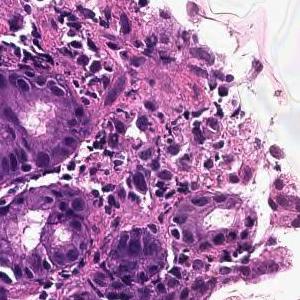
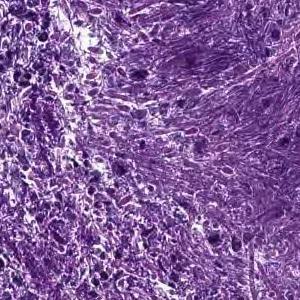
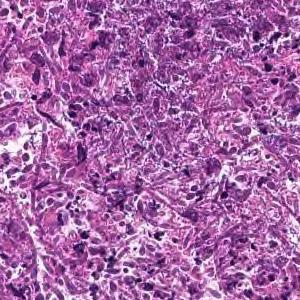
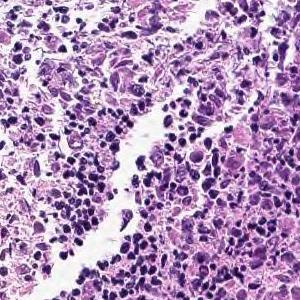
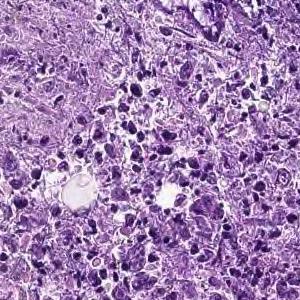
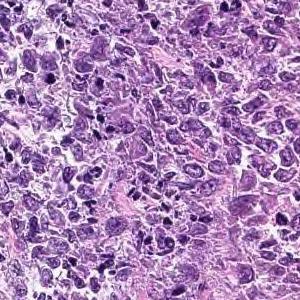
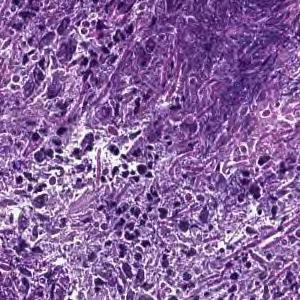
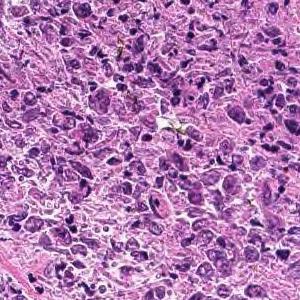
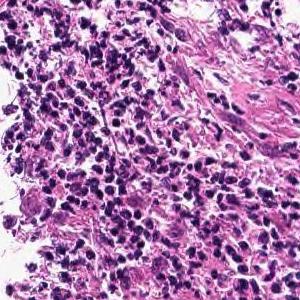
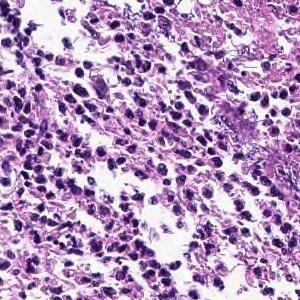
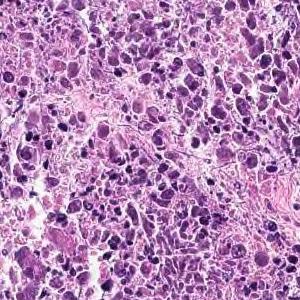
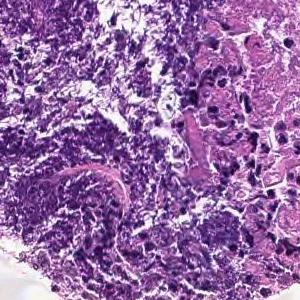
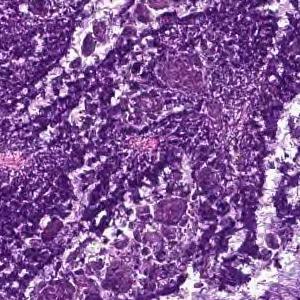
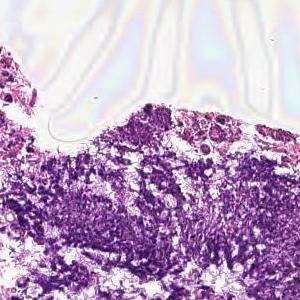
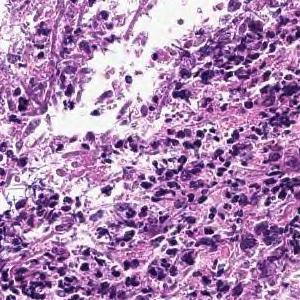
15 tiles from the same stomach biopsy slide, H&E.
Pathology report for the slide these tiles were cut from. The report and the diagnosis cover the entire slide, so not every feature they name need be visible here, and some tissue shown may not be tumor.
Cancers with polygonal nuclei do not show glandular formation and are densely, in part, cord-like and proliferate. Poorly differentiated adenocarcinoma
Subtype: Poorly differentiated adenocarcinoma, non-solid type.
"Non-solid type" is a category of the Japanese Classification of Gastric Carcinoma.
